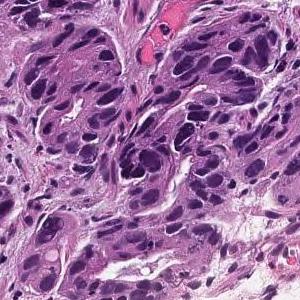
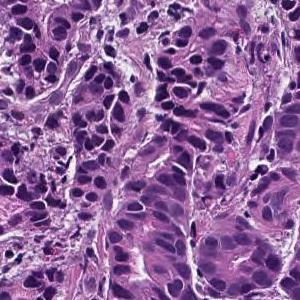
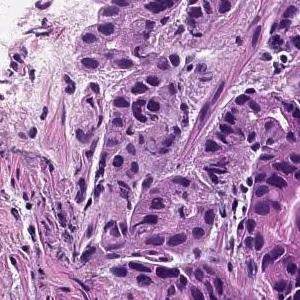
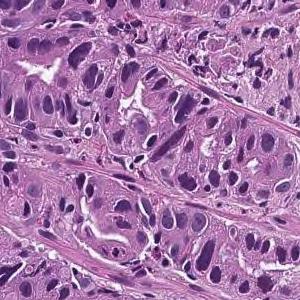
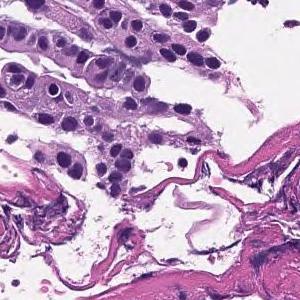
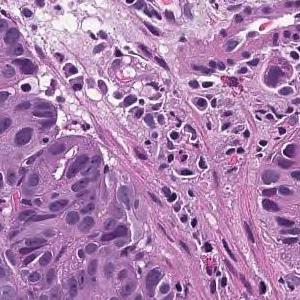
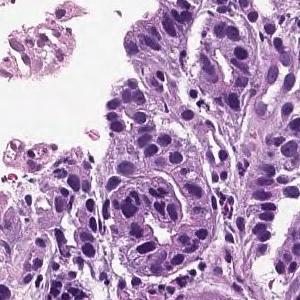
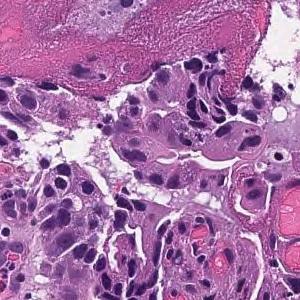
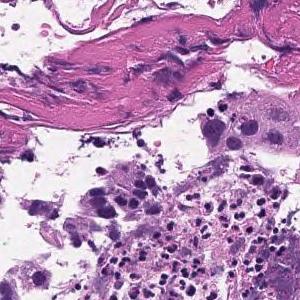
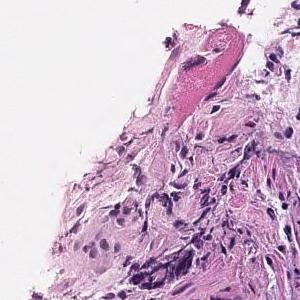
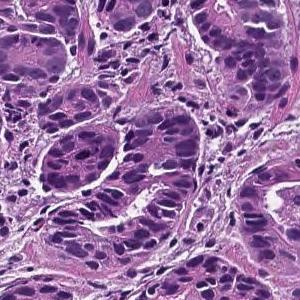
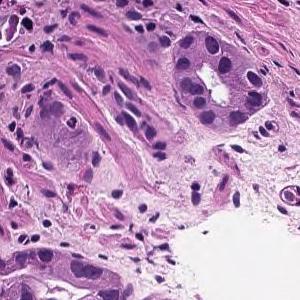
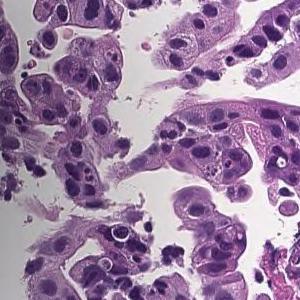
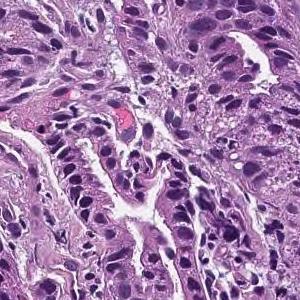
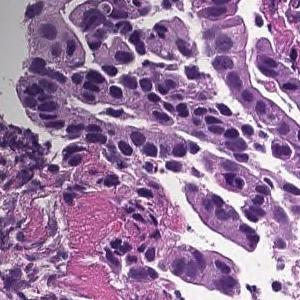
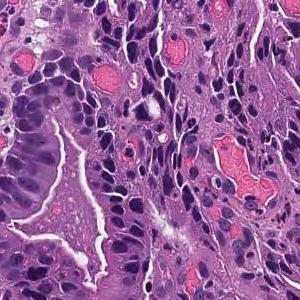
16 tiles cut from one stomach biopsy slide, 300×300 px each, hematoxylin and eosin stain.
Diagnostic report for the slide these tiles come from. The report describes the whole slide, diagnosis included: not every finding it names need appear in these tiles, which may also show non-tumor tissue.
In the superficial epithelium, tumor tissue that invades by forming medium-sized to small, irregular ducts is observed. moderately differentiated tubular adenocarcinoma.
